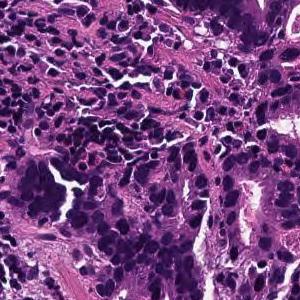
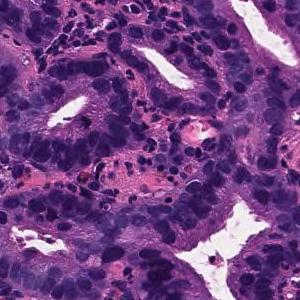
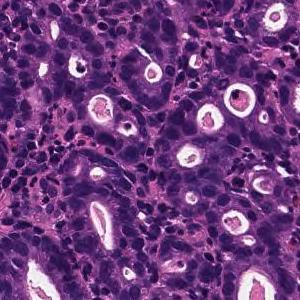
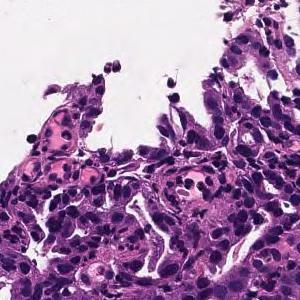
4 patches cut from one gastric biopsy slide; ×20; H&E.
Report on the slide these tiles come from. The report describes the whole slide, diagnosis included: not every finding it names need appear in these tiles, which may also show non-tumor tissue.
On the superficial epithelium, tumor tissue is found in which medium-sized irregular gland ducts fuse with each other and infiltrate. moderately differentiated tubular adenocarcinoma
